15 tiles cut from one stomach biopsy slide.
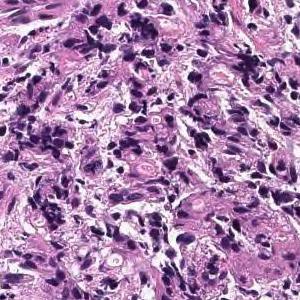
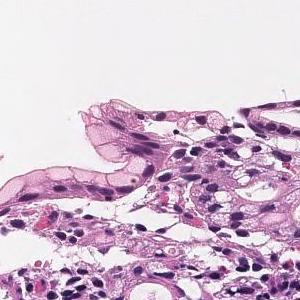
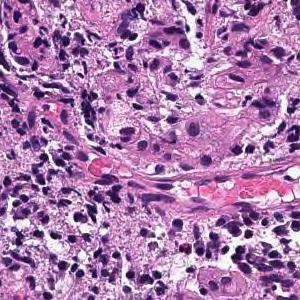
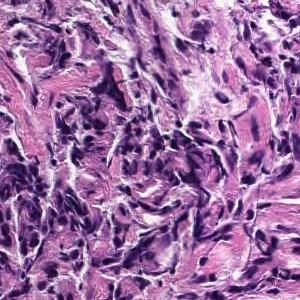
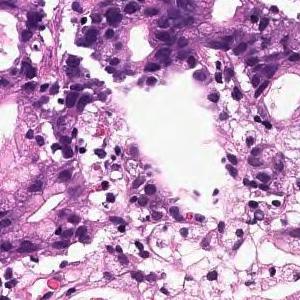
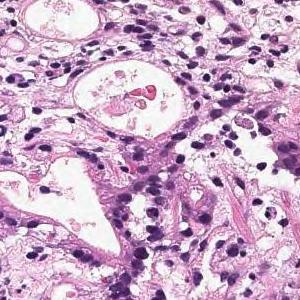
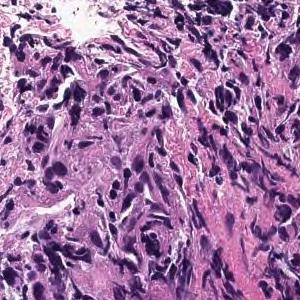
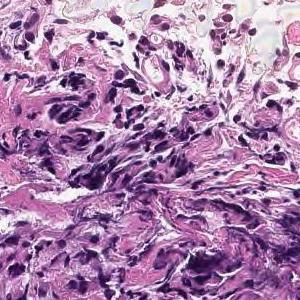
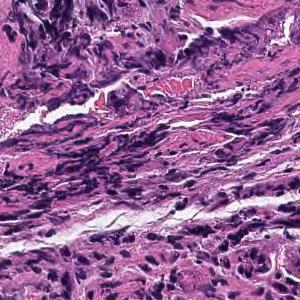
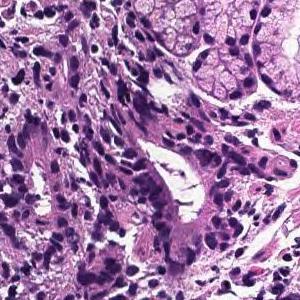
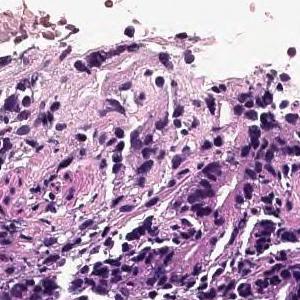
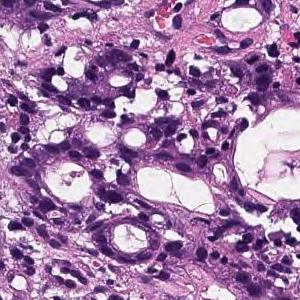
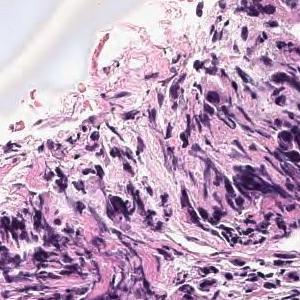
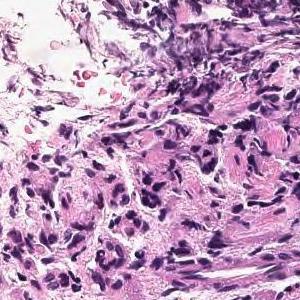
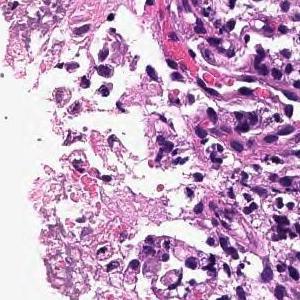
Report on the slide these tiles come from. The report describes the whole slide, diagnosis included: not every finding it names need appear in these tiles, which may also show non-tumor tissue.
Tumor tissue consisting of cord-like or small, irregular glandular ducts fused and infiltrated is observed in the superficial epithelium. Poorly differentiated adenocarcinoma, non-solid type
The term "non-solid type" comes from the Japanese Classification of Gastric Carcinoma.
